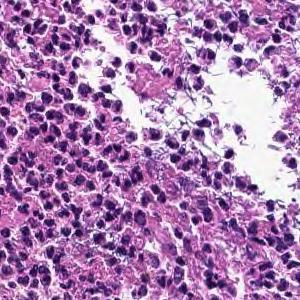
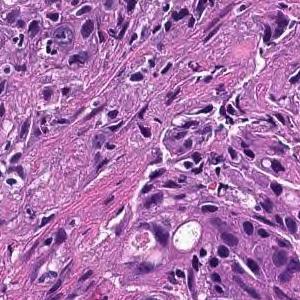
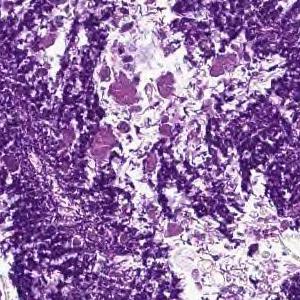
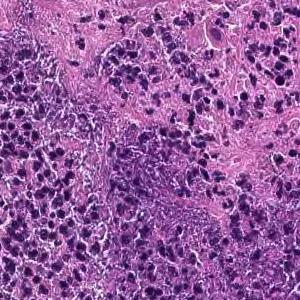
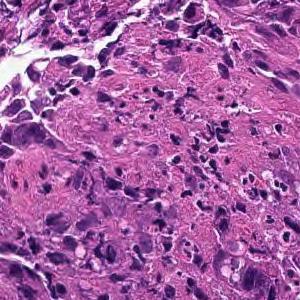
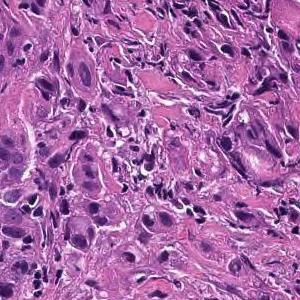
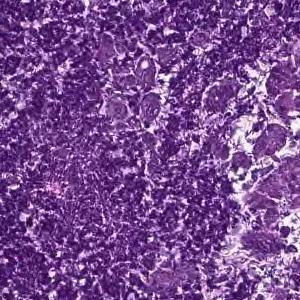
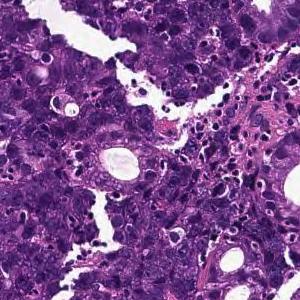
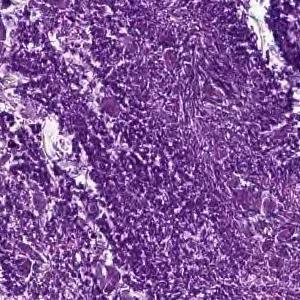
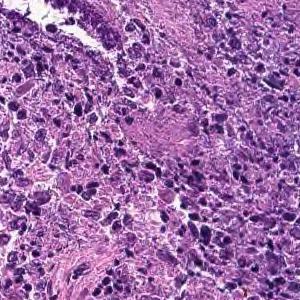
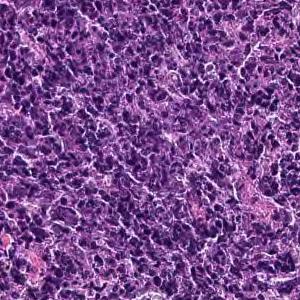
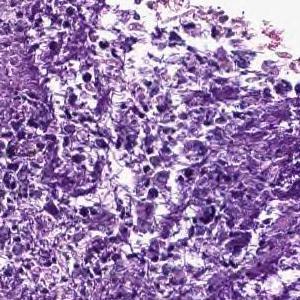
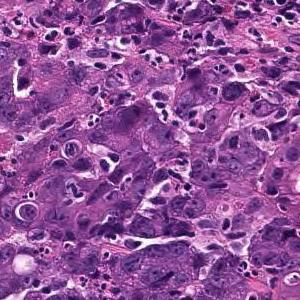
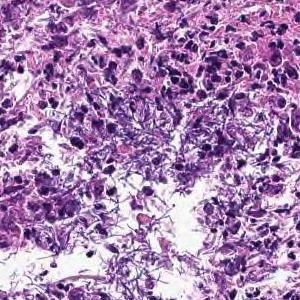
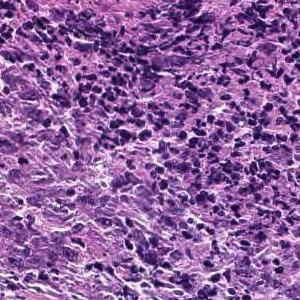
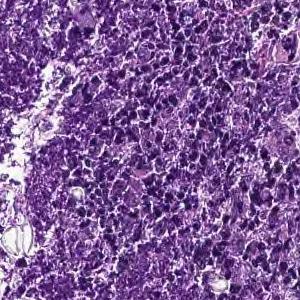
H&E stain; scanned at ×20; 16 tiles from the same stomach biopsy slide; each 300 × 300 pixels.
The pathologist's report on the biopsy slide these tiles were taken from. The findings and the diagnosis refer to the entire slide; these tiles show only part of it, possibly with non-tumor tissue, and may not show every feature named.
Cancers with polygonal nuclei do not show glandular formation and are densely, in part, cord-like and proliferate. Poorly differentiated adenocarcinoma
Histological subtype: Poorly differentiated adenocarcinoma, non-solid type.
The non-solid type named here is a Japanese Classification of Gastric Carcinoma category.
